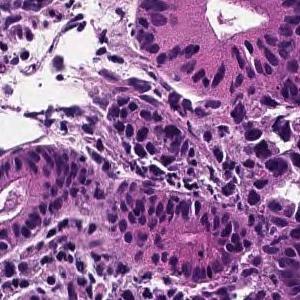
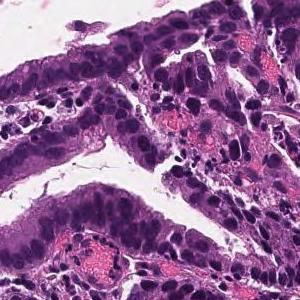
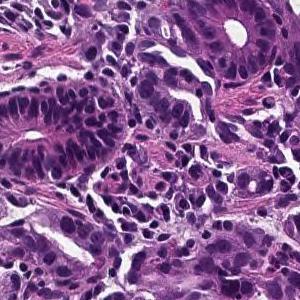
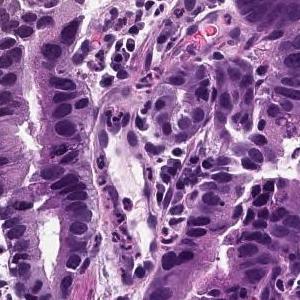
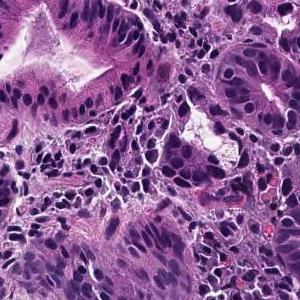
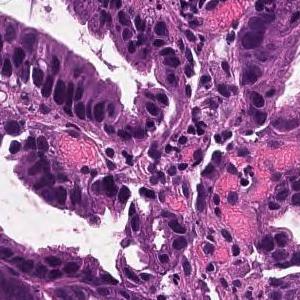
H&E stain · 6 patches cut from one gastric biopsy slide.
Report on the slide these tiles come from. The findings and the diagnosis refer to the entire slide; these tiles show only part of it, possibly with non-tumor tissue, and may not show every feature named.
From the superficial epithelium to the muscularis mucosae, tumor tissue consisting of medium-sized and irregular glandular ducts infiltrating is observed. Well differentiated tubular adenocarcinoma
